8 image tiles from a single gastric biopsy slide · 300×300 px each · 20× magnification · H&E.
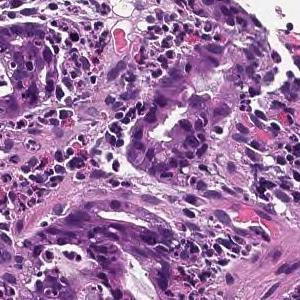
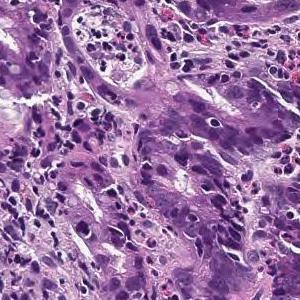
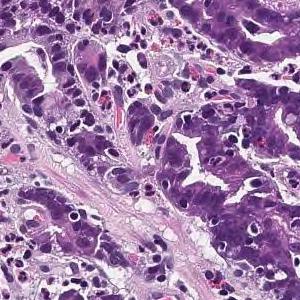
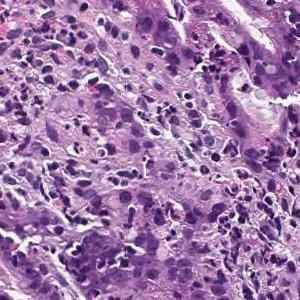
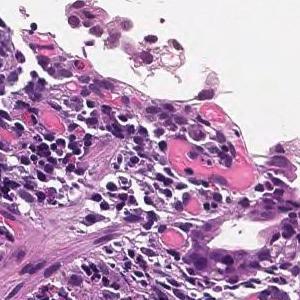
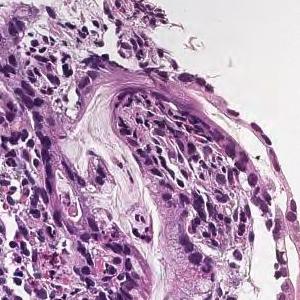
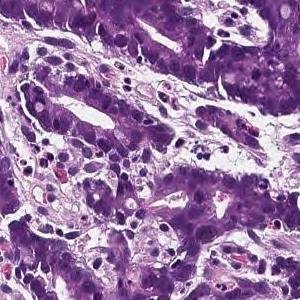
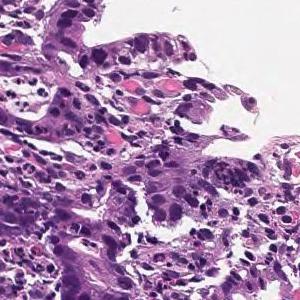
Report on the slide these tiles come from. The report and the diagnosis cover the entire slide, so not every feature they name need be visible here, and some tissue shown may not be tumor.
In the superficial epithelium, tumor tissue that invades by forming medium-sized to small, irregular ducts is observed. moderately differentiated tubular adenocarcinoma.
